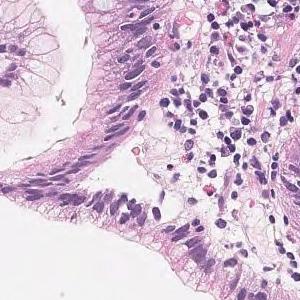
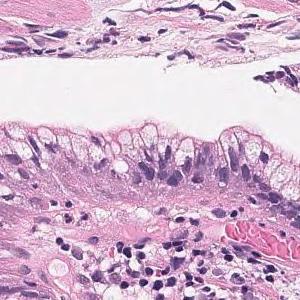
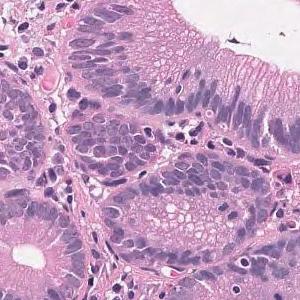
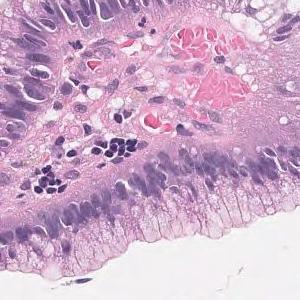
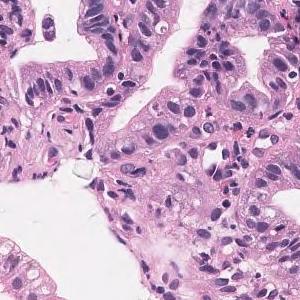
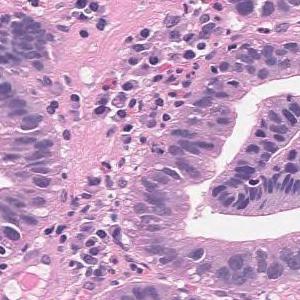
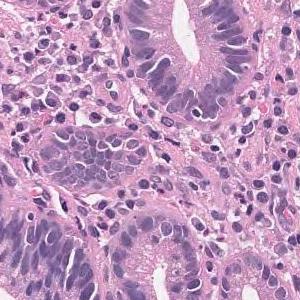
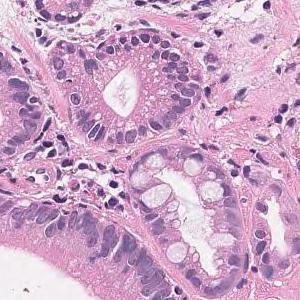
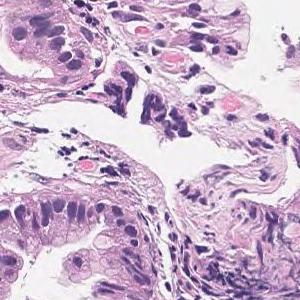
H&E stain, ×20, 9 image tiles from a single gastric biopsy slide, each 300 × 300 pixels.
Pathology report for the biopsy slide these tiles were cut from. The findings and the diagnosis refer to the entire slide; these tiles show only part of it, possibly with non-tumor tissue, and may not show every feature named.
Tumor tissue that grows tubular from the surface to the glandular fossa is seen. Adenocarcinoma.
Classified as well differentiated tubular adenocarcinoma.
